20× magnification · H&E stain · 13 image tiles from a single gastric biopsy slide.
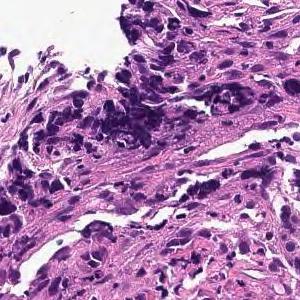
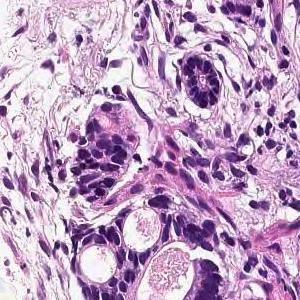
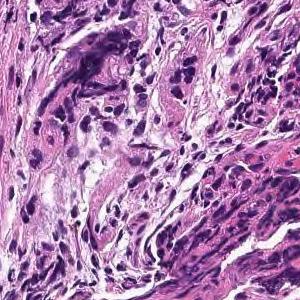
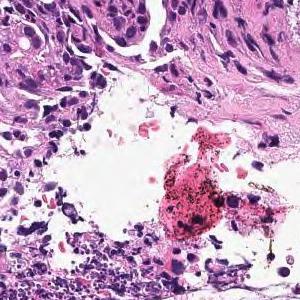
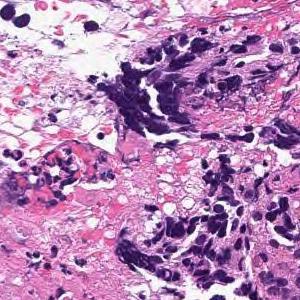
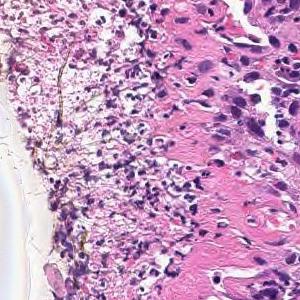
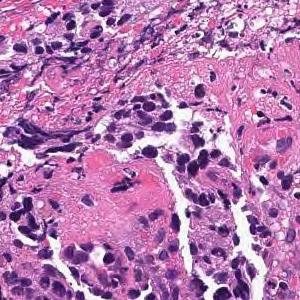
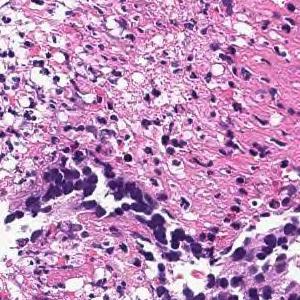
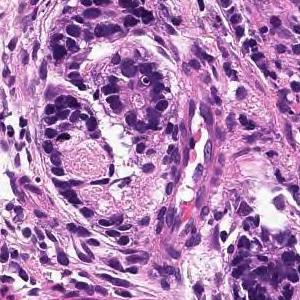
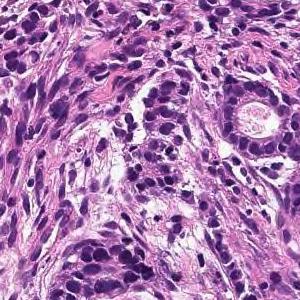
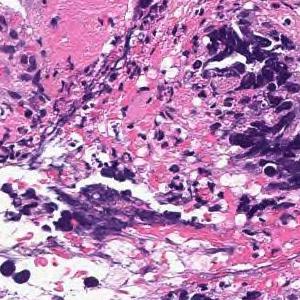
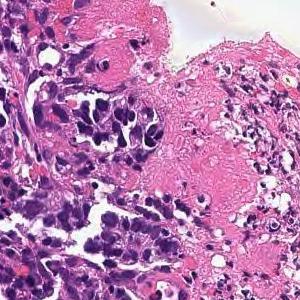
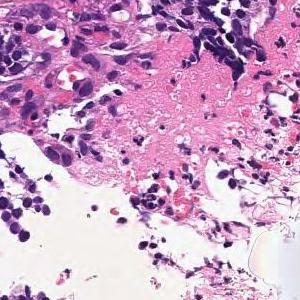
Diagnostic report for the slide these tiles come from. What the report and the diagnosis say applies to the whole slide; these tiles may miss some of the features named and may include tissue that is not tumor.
Tumor tissue consisting of medium-sized, cord-like or irregular glandular infiltration is observed in the superficial epithelium. Poorly differentiated adenocarcinoma, non-solid type or moderately differentiated tubular adenocarcinoma
Tumor subtype: moderately to poorly differentiated adenocarcinoma.
"Non-solid type" is a category of the Japanese Classification of Gastric Carcinoma.
